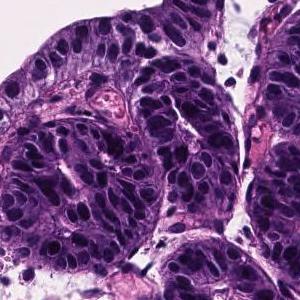
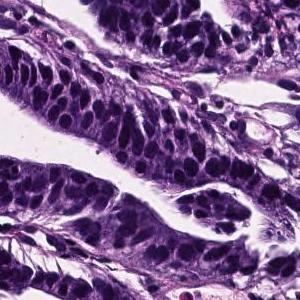
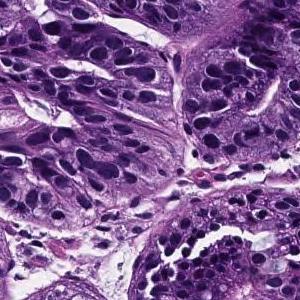
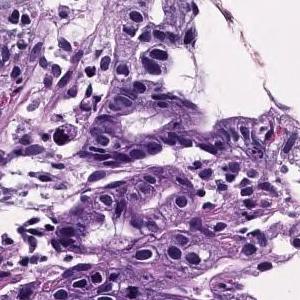
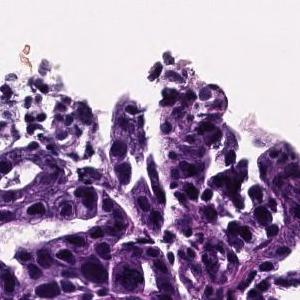
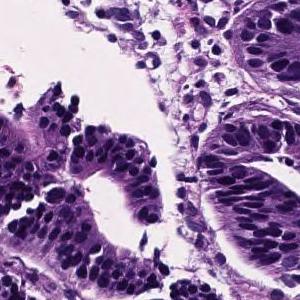
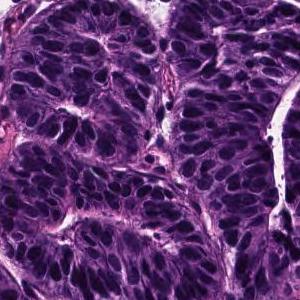
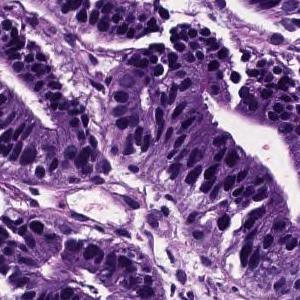
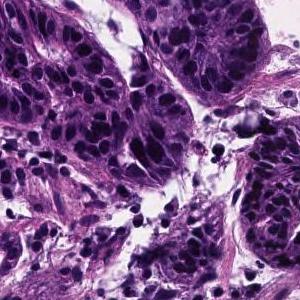
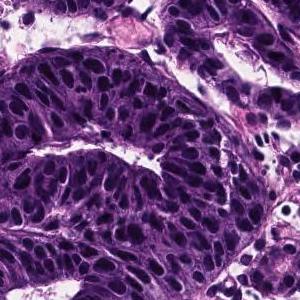
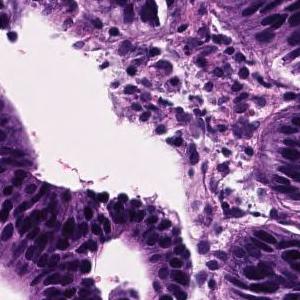
11 patches cut from one gastric biopsy slide; hematoxylin and eosin stain; ×20.
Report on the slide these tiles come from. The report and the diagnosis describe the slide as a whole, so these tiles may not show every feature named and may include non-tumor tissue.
On the superficial epithelium, tumor tissue consisting of medium-sized to large-sized, round or irregular glandular duct growth images is observed. Well differentiated tubular adenocarcinoma
